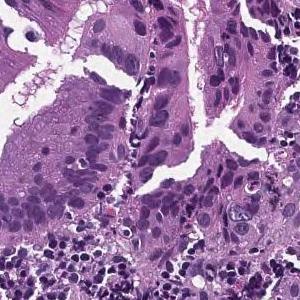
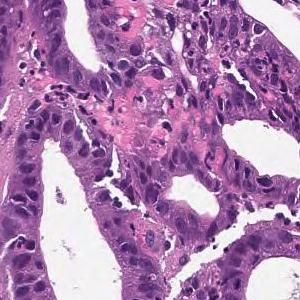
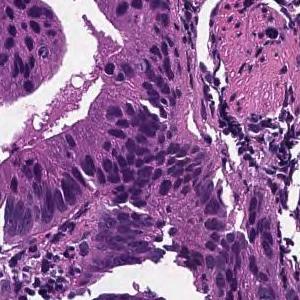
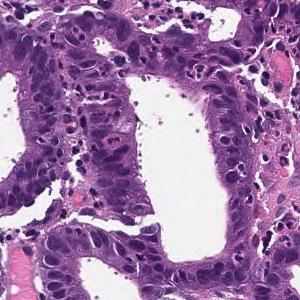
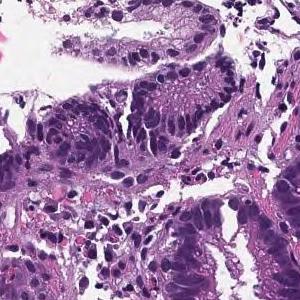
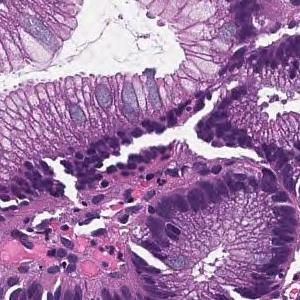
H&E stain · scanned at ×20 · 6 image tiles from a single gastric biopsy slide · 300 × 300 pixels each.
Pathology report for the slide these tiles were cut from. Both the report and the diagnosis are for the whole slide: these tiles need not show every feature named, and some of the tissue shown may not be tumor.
From the superficial epithelium to the muscularis mucosae, tumor tissue consisting of medium-sized and irregular glandular ducts infiltrating is observed. Well differentiated tubular adenocarcinoma
